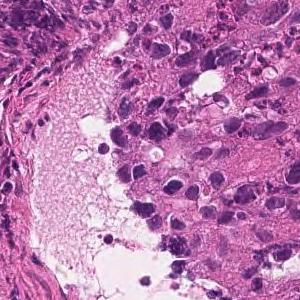
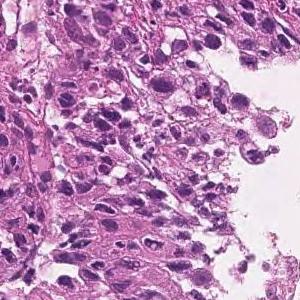
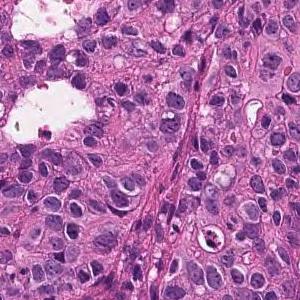
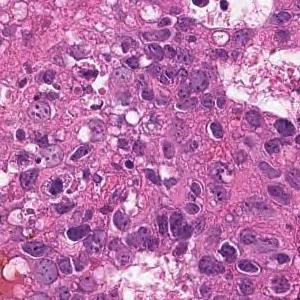
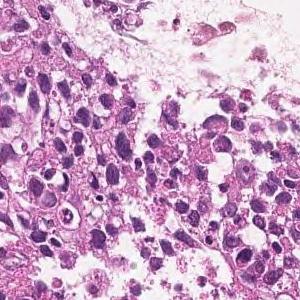
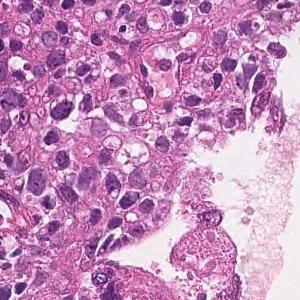
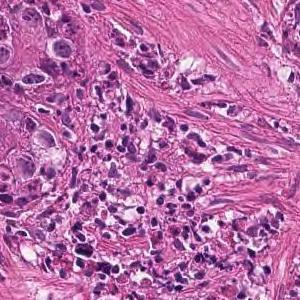
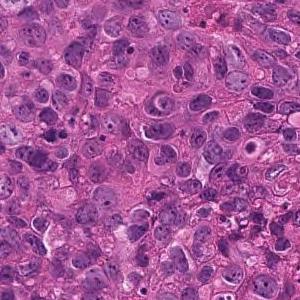
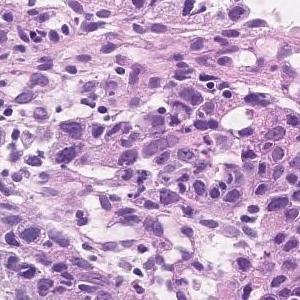
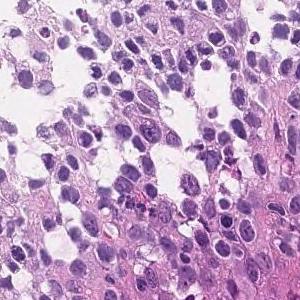
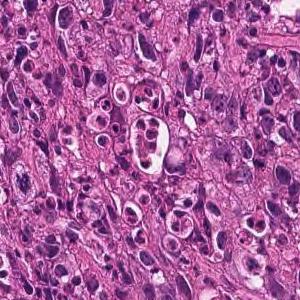
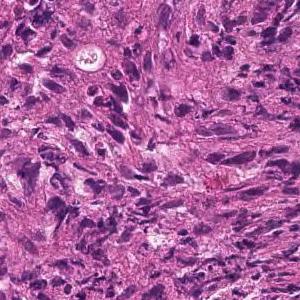
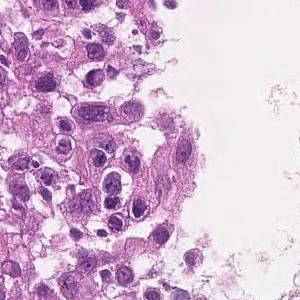
13 image tiles from a single gastric biopsy slide · 300 × 300 pixels each · scanned at ×20 · H&E stain.
Pathology report for the slide these tiles were cut from. The findings and the diagnosis refer to the entire slide; these tiles show only part of it, possibly with non-tumor tissue, and may not show every feature named.
The superficial epithelium shows a large sheet-like shape, and some tumor tissue infiltrates with small irregular ducts. Poorly differentiated adenocarcinoma, solid-type
Classified as poorly differentiated adenocarcinoma, solid type (Japanese Classification of Gastric Carcinoma). The WHO 2019 equivalent is tubular adenocarcinoma, poorly differentiated.
